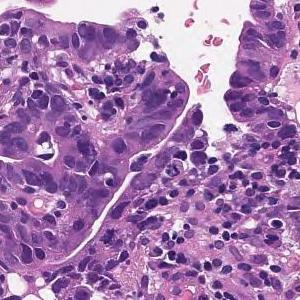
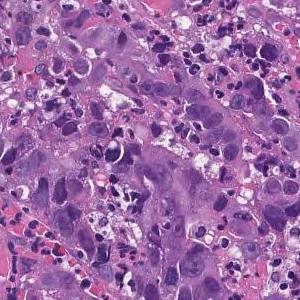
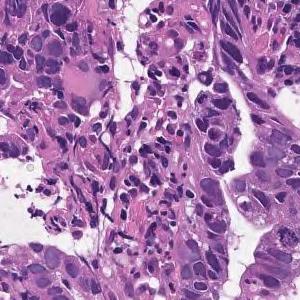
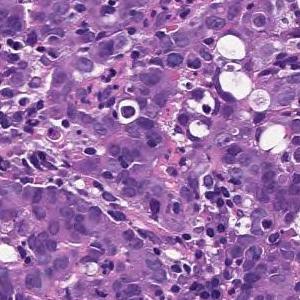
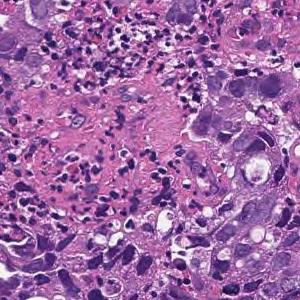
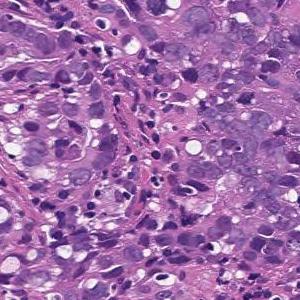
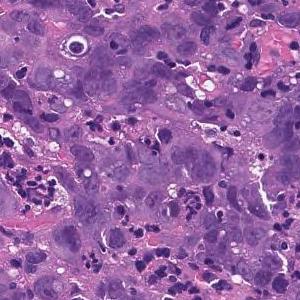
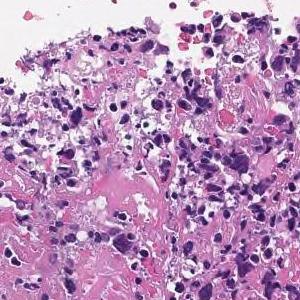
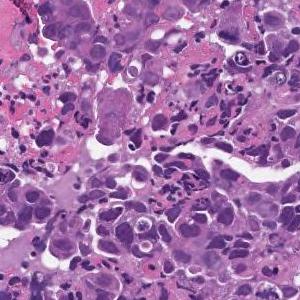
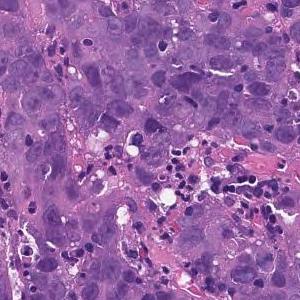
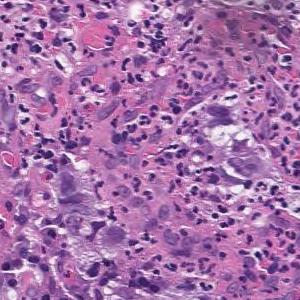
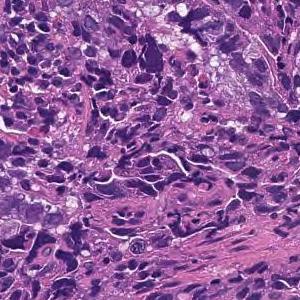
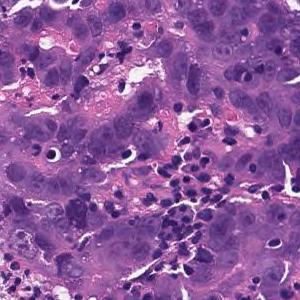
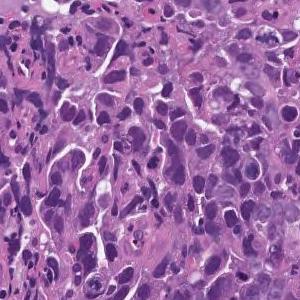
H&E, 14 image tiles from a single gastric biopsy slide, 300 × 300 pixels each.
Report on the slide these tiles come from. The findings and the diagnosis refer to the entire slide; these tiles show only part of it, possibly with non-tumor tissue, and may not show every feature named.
Tumor tissue consisting of cord-like or small, irregular glandular ducts fused and infiltrated is observed in the superficial epithelium. Poorly differentiated adenocarcinoma, non-solid type
The non-solid type named here is a Japanese Classification of Gastric Carcinoma category.
